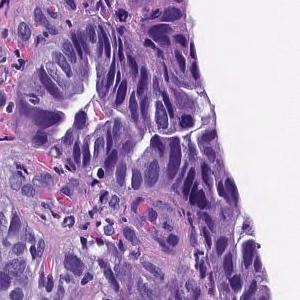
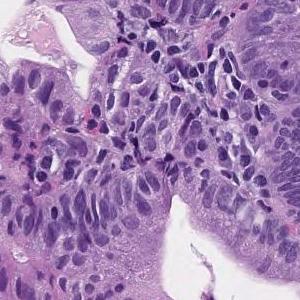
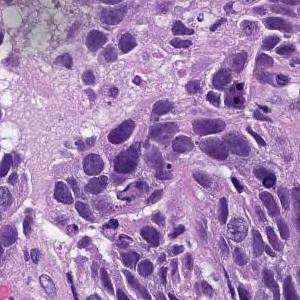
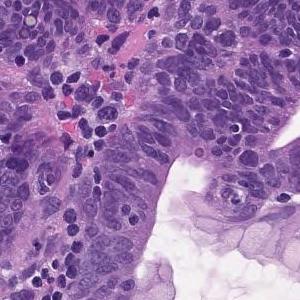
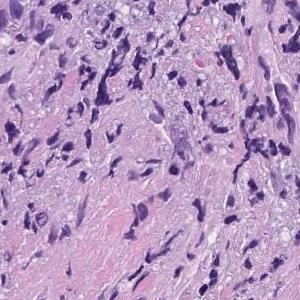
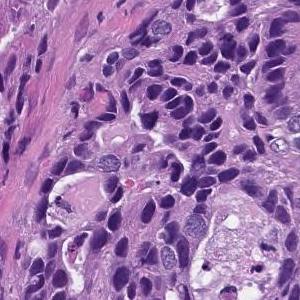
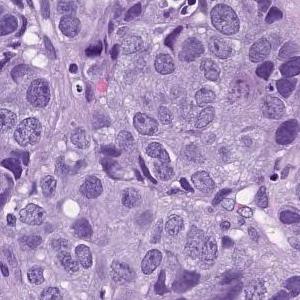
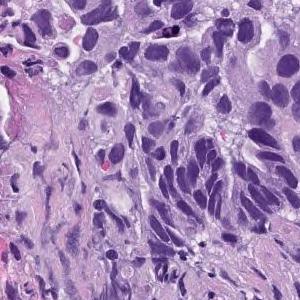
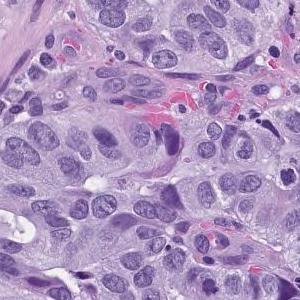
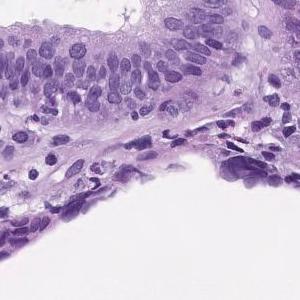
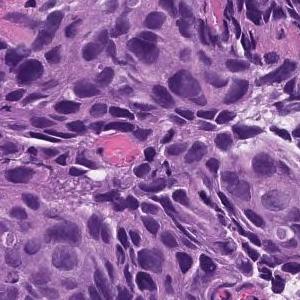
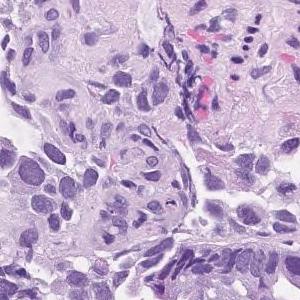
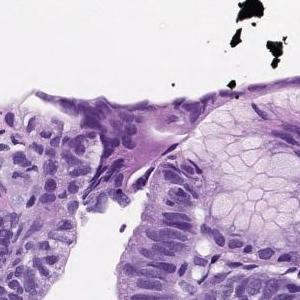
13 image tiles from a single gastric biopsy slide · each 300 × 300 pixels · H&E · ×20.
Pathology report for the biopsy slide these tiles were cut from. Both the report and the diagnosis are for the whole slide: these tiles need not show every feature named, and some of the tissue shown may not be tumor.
In the superficial epithelium, tumor tissue that invades by forming medium-sized to small, irregular ducts is observed. moderately differentiated tubular adenocarcinoma.
